15 image tiles from a single gastric biopsy slide; 300 × 300 pixels each.
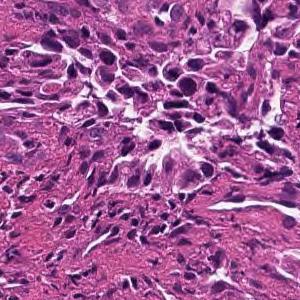
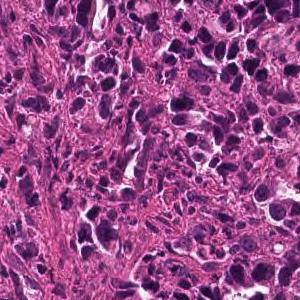
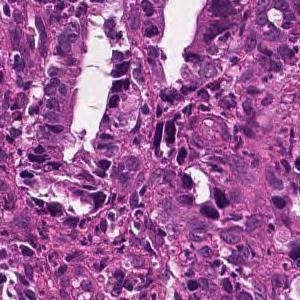
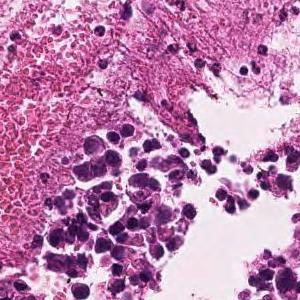
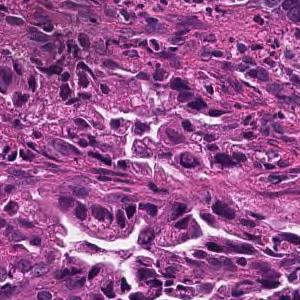
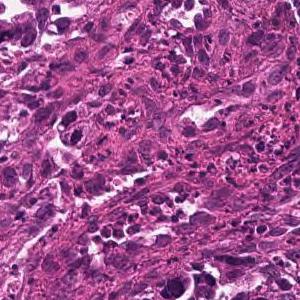
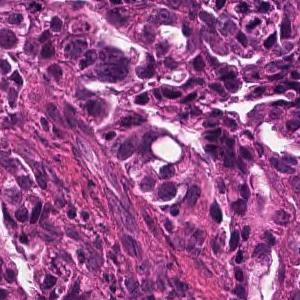
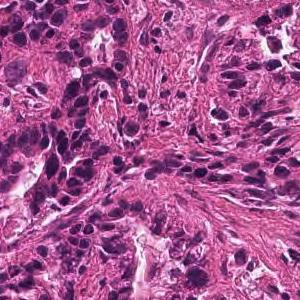
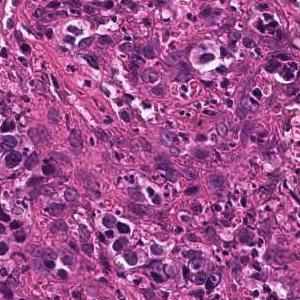
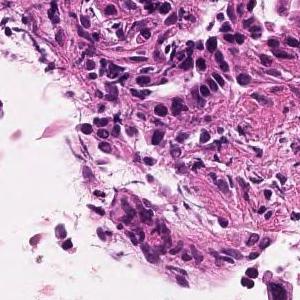
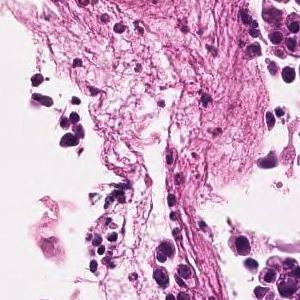
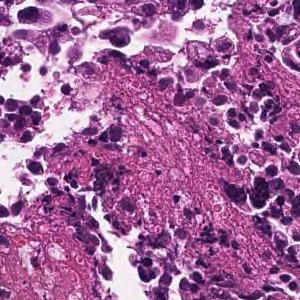
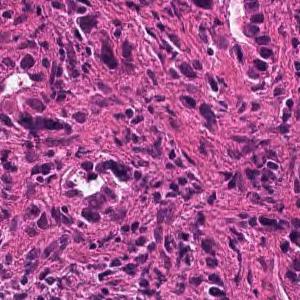
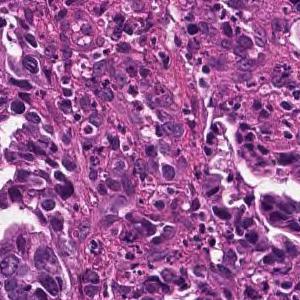
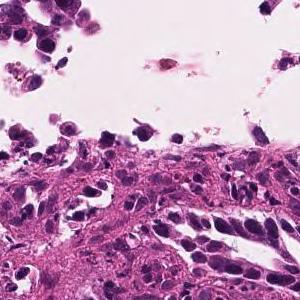
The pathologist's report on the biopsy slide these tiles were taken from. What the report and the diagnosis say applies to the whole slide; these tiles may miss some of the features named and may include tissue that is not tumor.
In the superficial epithelium, tumor tissue that invades by forming medium-sized to small, irregular ducts is observed. moderately differentiated tubular adenocarcinoma.
